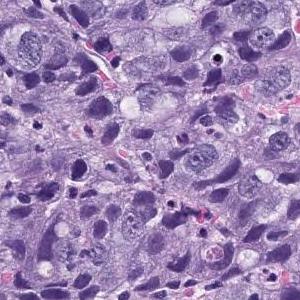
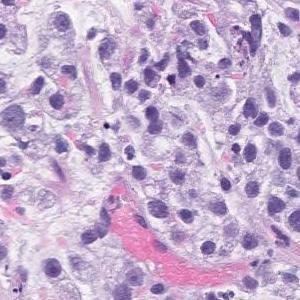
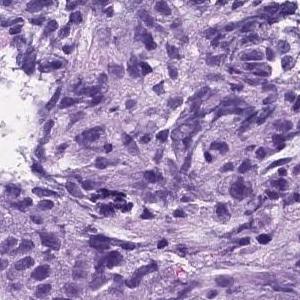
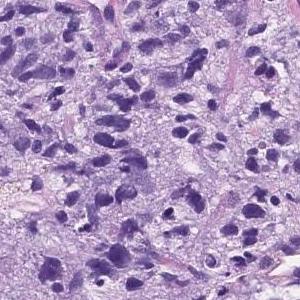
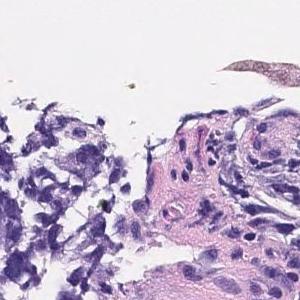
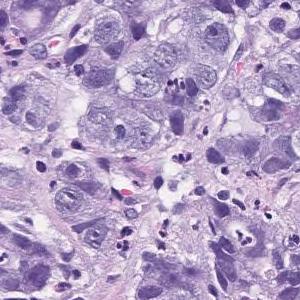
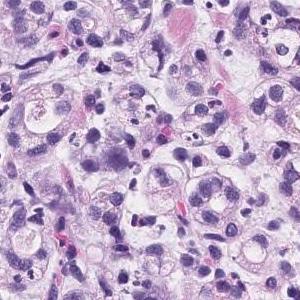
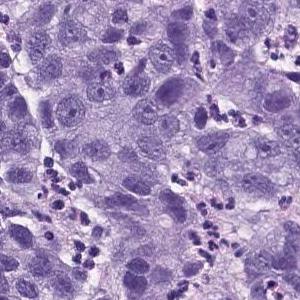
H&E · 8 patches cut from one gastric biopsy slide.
Report on the slide these tiles come from. The report describes the whole slide, diagnosis included: not every finding it names need appear in these tiles, which may also show non-tumor tissue.
Atypical l cells with atypical nuclei forming solid vesicles or small irregular atypical ducts that proliferate in a complex manner. poorly differentiated adenocarcinoma, solid type, moderately differentiated tubular adenocarcinoma
"Solid type" is a category of the Japanese Classification of Gastric Carcinoma; in the WHO 2019 classification it is tubular adenocarcinoma, poorly differentiated.
